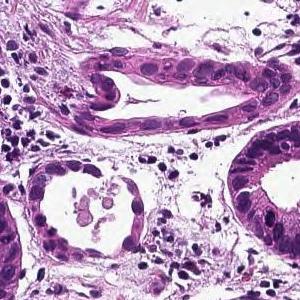
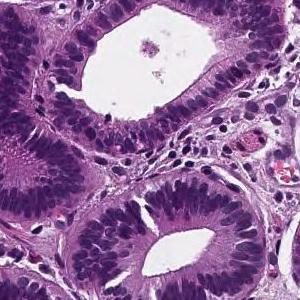
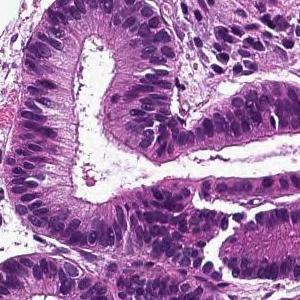
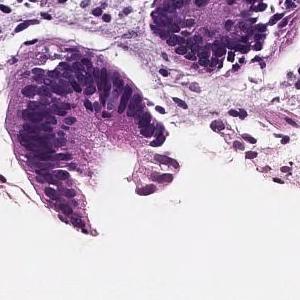
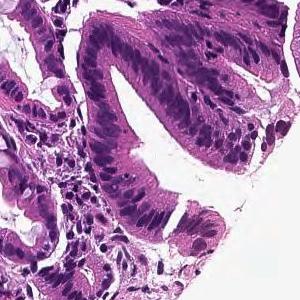
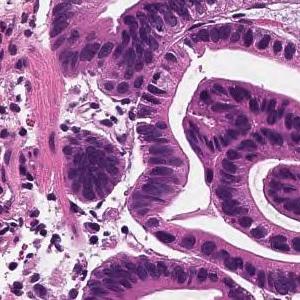
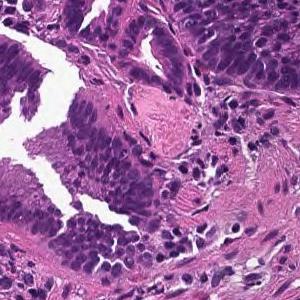
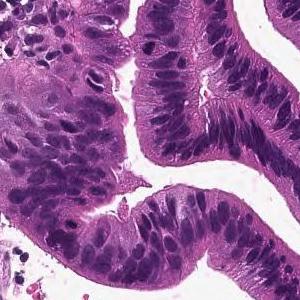
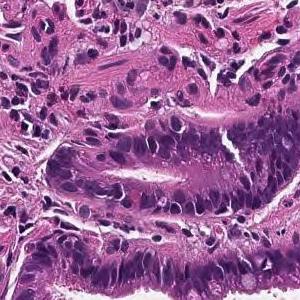
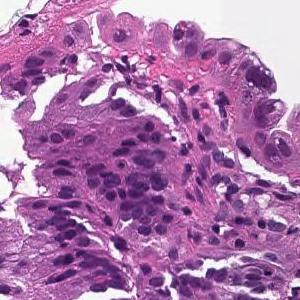
10 image tiles from a single gastric biopsy slide.
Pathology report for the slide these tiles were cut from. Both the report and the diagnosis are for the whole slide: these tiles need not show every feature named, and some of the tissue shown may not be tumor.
From the superficial epithelium to the muscularis mucosae, tumor tissue consisting of medium-sized and irregular glandular ducts infiltrating is observed. Well differentiated tubular adenocarcinoma
